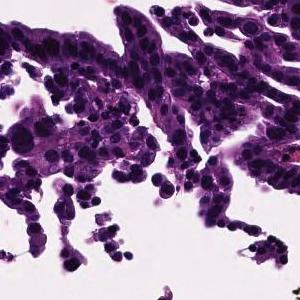
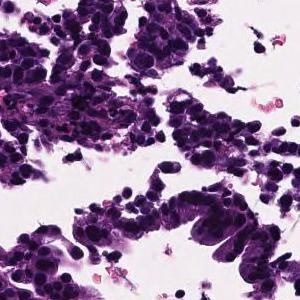
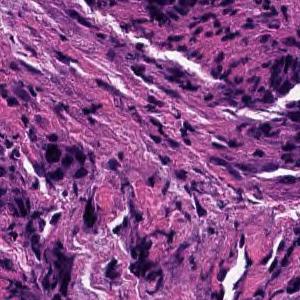
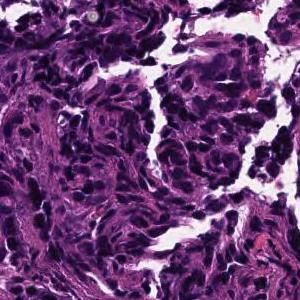
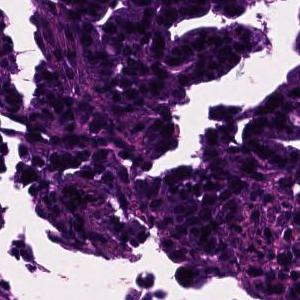
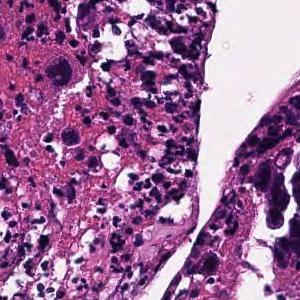
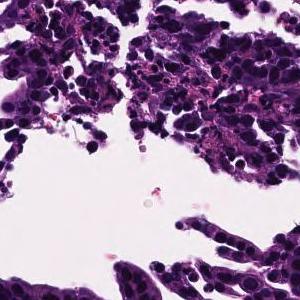
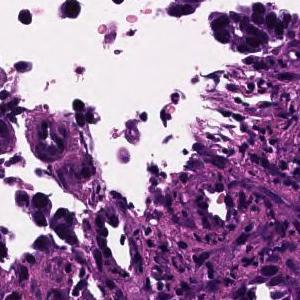
8 tiles from the same stomach biopsy slide, 300×300 px each.
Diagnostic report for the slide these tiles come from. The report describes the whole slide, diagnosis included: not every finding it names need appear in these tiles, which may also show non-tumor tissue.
In the superficial epithelium, tumor tissue that invades by forming medium-sized to small, irregular ducts is observed. moderately differentiated tubular adenocarcinoma.
